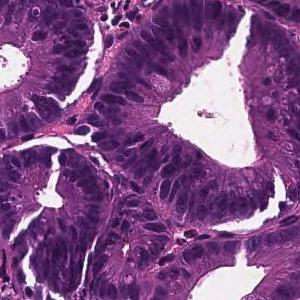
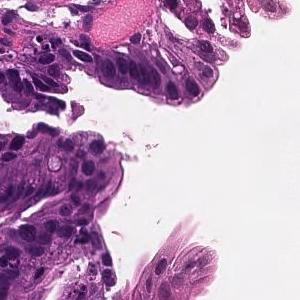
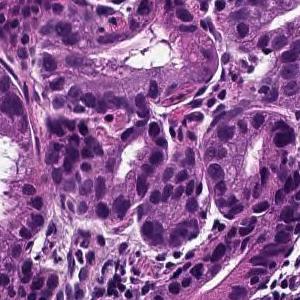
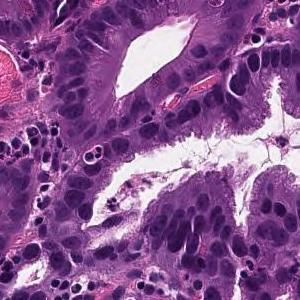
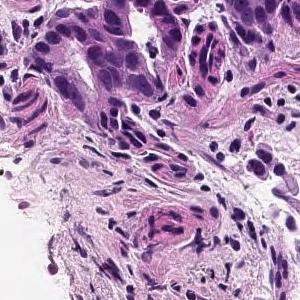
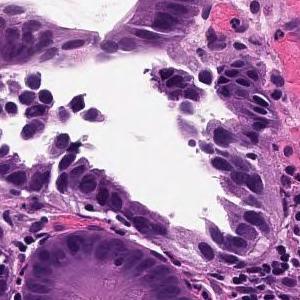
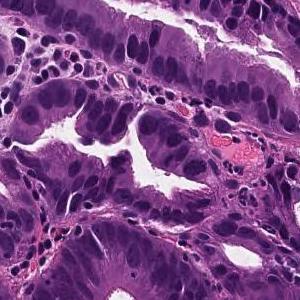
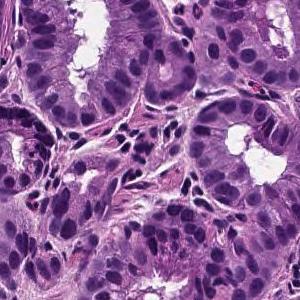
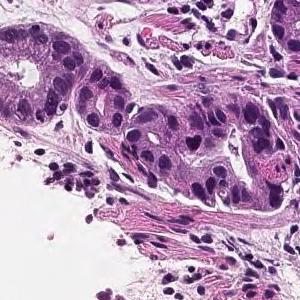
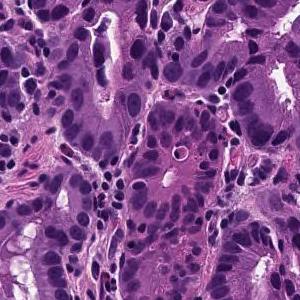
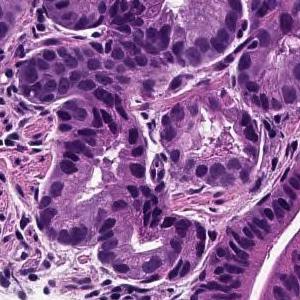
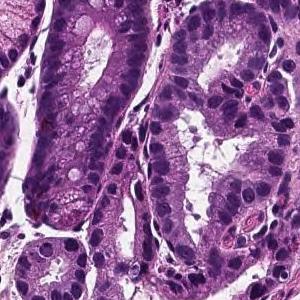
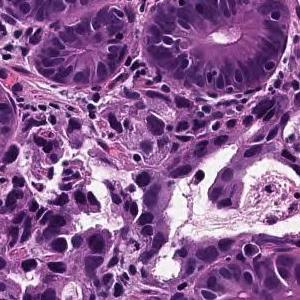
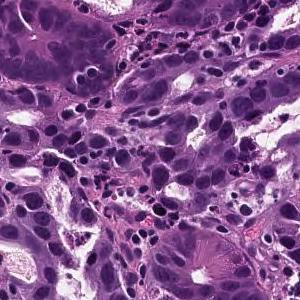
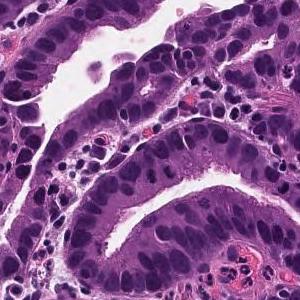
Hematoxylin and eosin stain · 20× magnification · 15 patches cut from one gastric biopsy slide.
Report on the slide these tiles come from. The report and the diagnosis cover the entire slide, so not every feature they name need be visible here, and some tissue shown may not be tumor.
From the superficial epithelium to the muscularis mucosae, tumor tissue consisting of medium-sized and irregular glandular ducts infiltrating is observed. Well differentiated tubular adenocarcinoma
